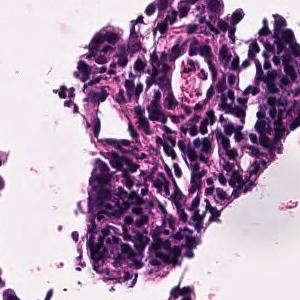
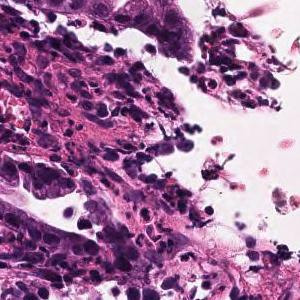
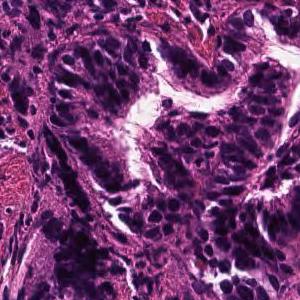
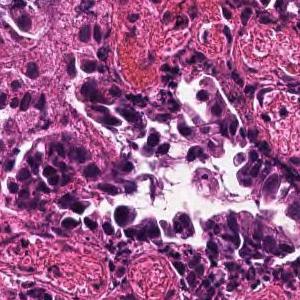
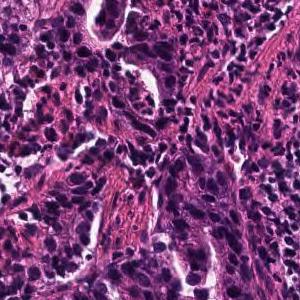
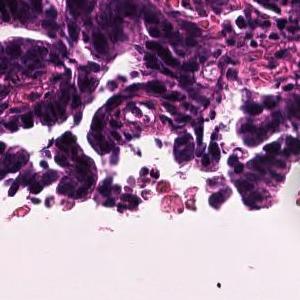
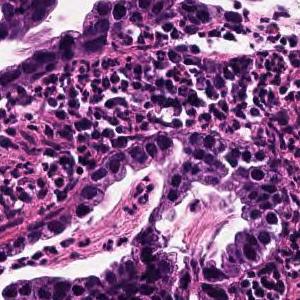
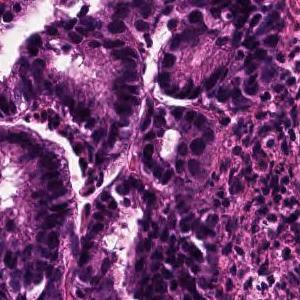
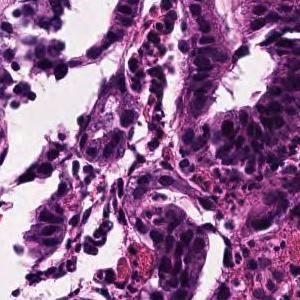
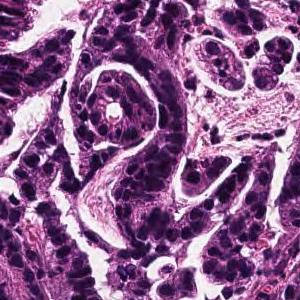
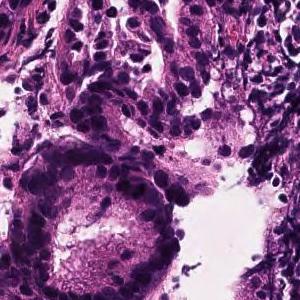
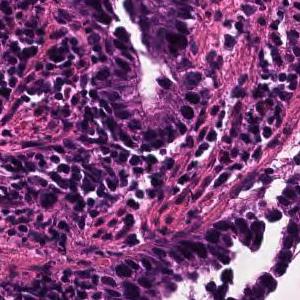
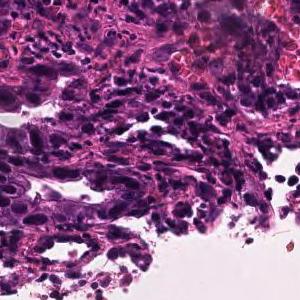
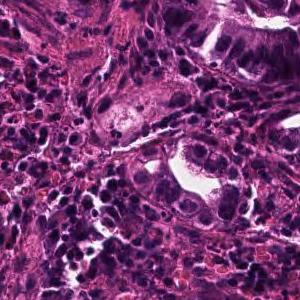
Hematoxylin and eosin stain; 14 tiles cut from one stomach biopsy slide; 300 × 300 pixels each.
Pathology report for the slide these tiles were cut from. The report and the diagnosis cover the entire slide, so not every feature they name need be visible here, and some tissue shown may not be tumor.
Tumor tissue consisting of large papillary structures is found in the superficial epithelium. Papillary adenocarcinoma.
